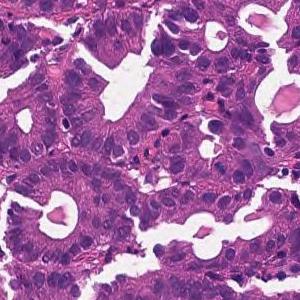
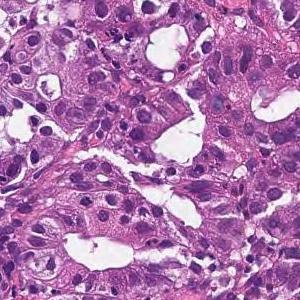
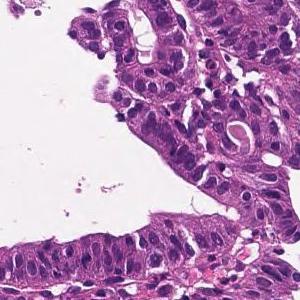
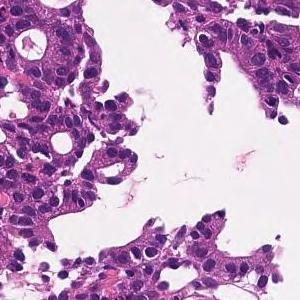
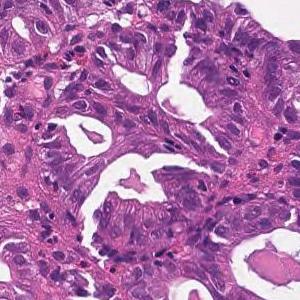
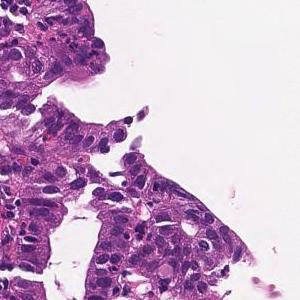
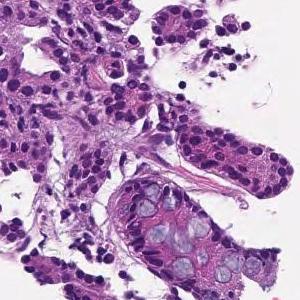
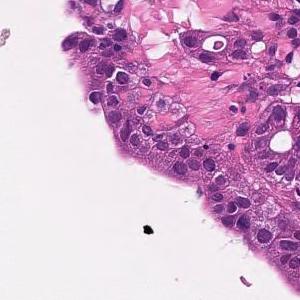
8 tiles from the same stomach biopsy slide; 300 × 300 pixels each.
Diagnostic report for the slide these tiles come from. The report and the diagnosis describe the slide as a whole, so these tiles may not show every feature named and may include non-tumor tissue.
On the superficial epithelium, tumor tissue consisting of medium-sized irregular glandular ducts partially fused and infiltrated is observed. Well to moderately differentiated tubular adenocarcinoma (well differentiated tubular adenocarcinoma-moderately differentiated tubular adenocarcinoma)
Classified as well to moderately differentiated tubular adenocarcinoma.
